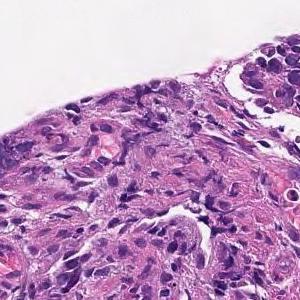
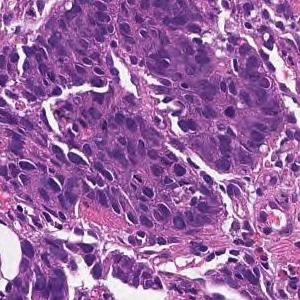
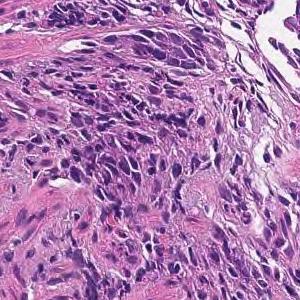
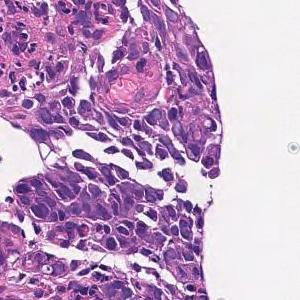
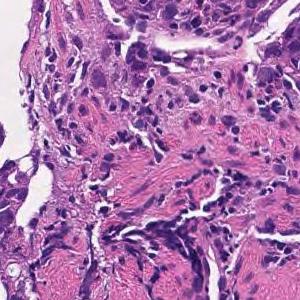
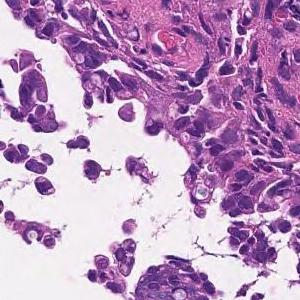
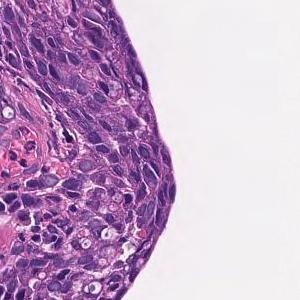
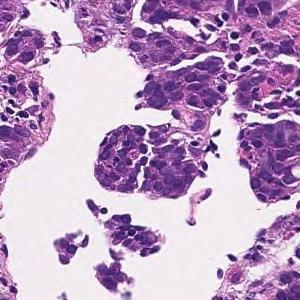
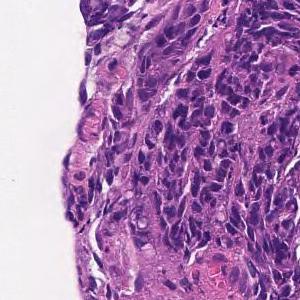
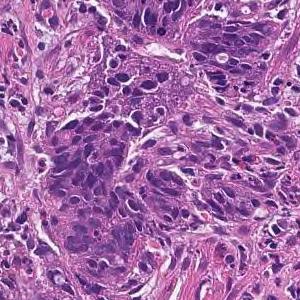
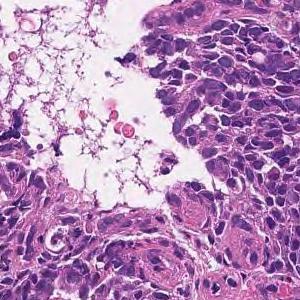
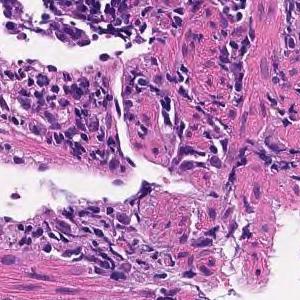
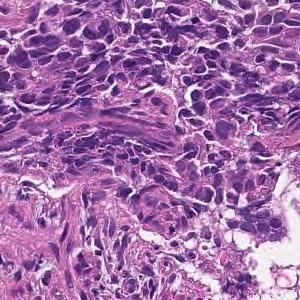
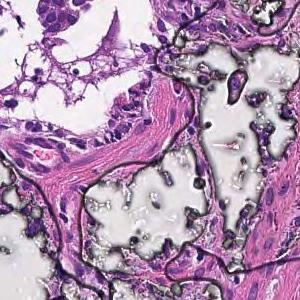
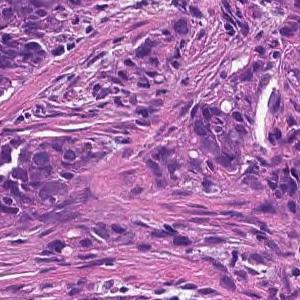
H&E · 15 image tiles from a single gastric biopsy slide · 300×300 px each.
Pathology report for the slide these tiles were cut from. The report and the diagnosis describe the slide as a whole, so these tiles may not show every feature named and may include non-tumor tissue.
Tumor tissue consisting of cord-like or small, irregular glandular ducts fused and infiltrated is observed in the superficial epithelium. Poorly differentiated adenocarcinoma, non-solid type
The non-solid type named here is a Japanese Classification of Gastric Carcinoma category.
